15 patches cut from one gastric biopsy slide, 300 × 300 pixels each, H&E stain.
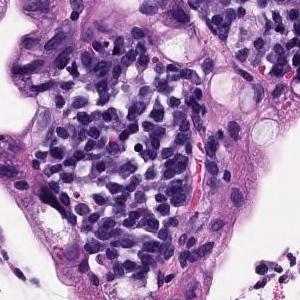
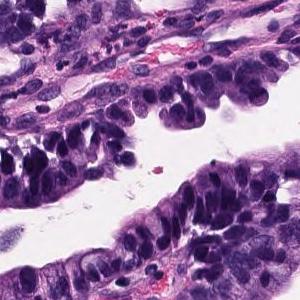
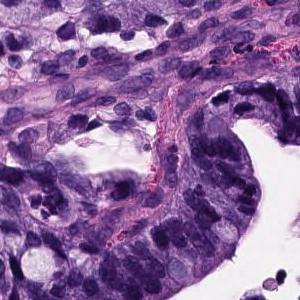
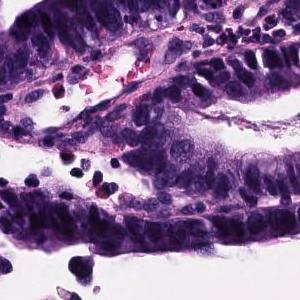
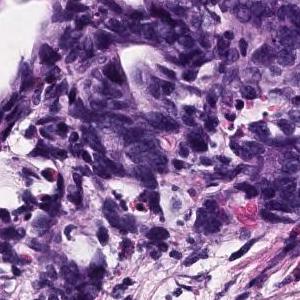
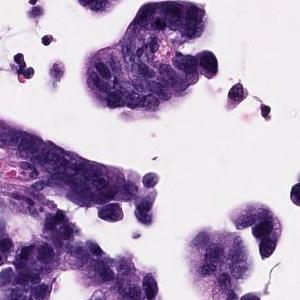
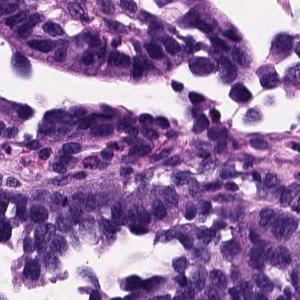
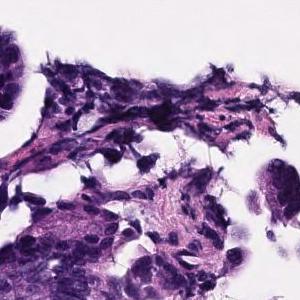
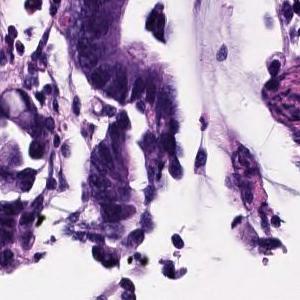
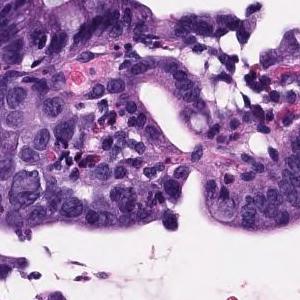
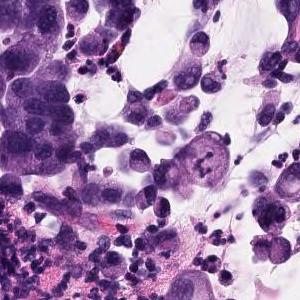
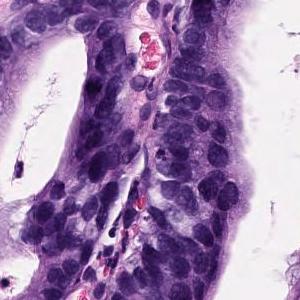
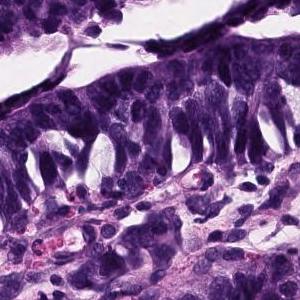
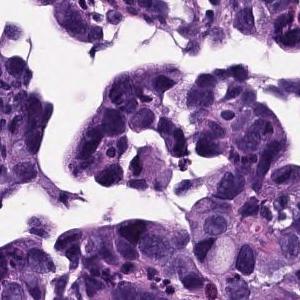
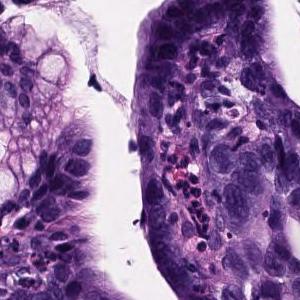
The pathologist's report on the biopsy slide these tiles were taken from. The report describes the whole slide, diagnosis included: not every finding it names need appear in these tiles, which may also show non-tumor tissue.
Atypical epithelium proliferating showing villus construction and irregular gland duct construction is observed. Moderately differentiated tubular adenocarcinoma.
